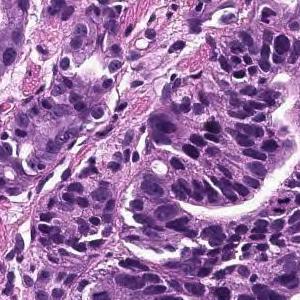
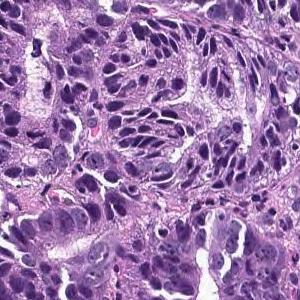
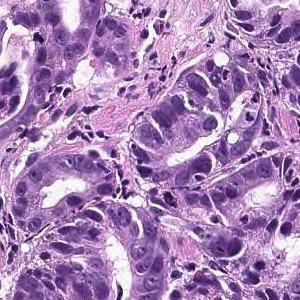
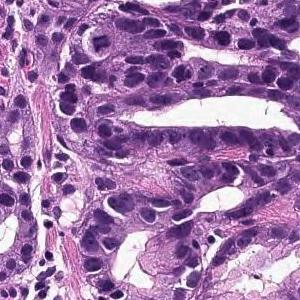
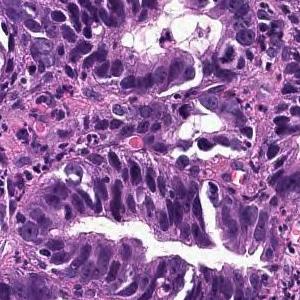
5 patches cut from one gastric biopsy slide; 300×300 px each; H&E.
Pathology report for the slide these tiles were cut from. The report and the diagnosis describe the slide as a whole, so these tiles may not show every feature named and may include non-tumor tissue.
On the superficial epithelium, tumor tissue that infiltrates by forming medium-sized papillary or small irregular ducts is observed. Papillary adenocarcinoma
